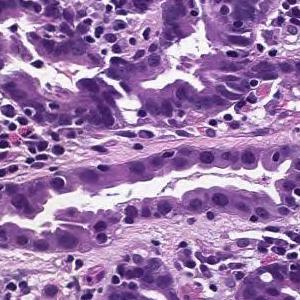
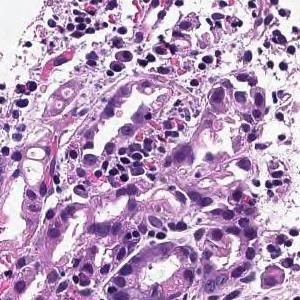
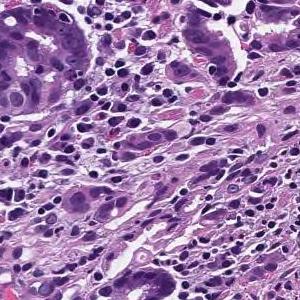
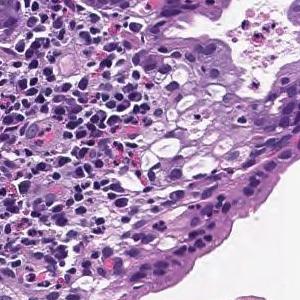
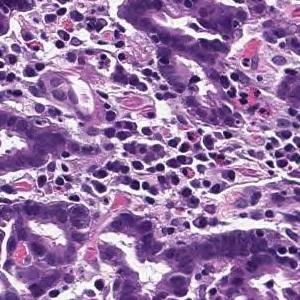
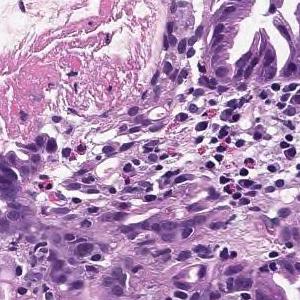
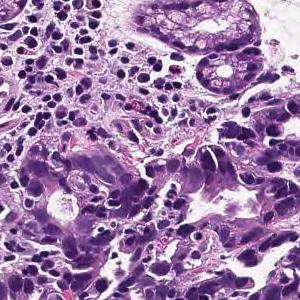
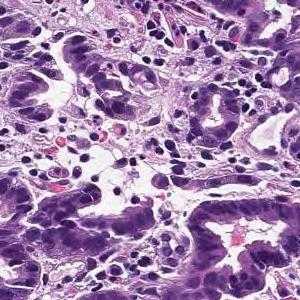
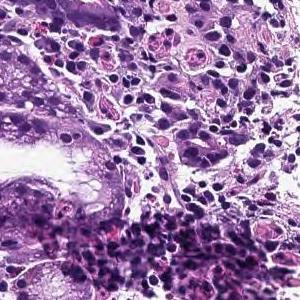
9 patches cut from one gastric biopsy slide · 300×300 px each · ×20 · hematoxylin and eosin stain.
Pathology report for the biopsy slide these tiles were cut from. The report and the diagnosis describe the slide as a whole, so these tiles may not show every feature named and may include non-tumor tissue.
In the superficial epithelium, tumor tissue that invades by forming medium-sized to small, irregular ducts is observed. moderately differentiated tubular adenocarcinoma.
